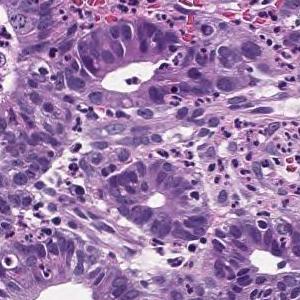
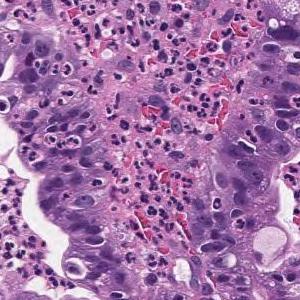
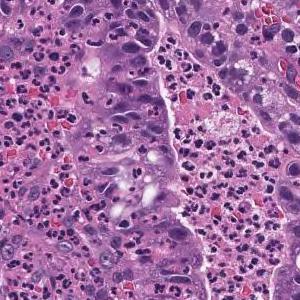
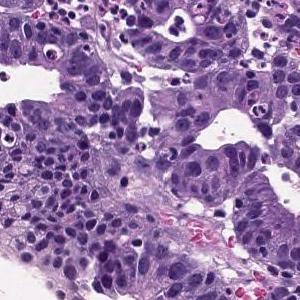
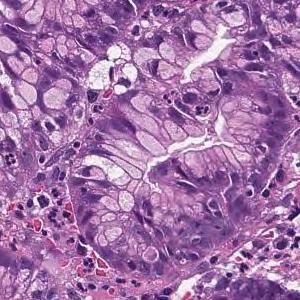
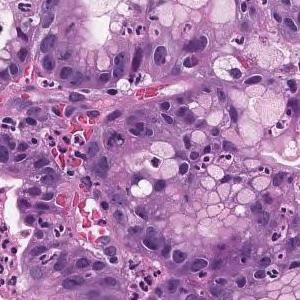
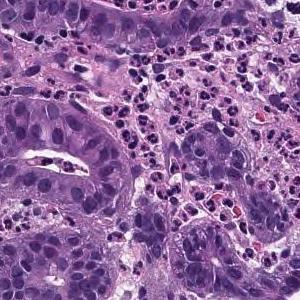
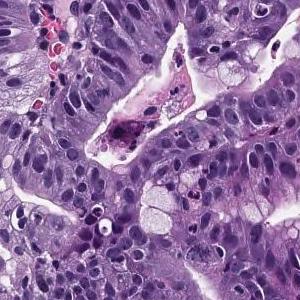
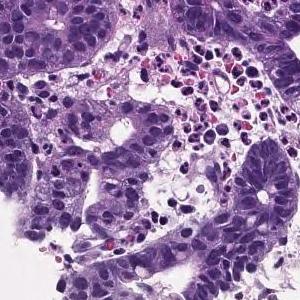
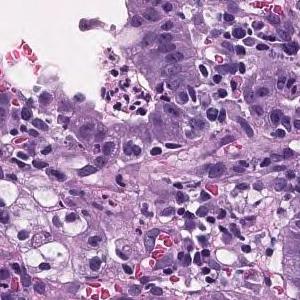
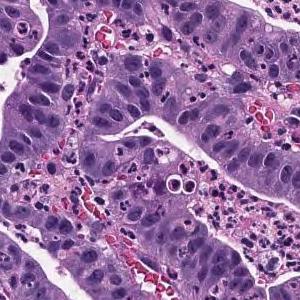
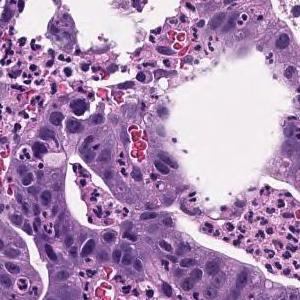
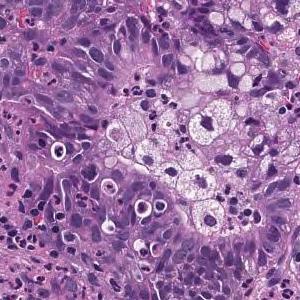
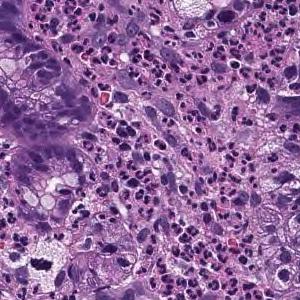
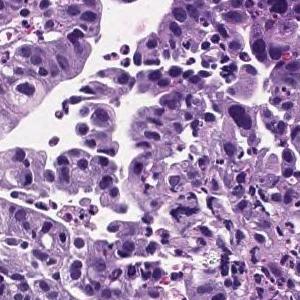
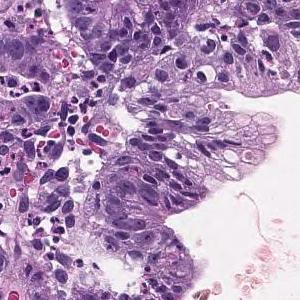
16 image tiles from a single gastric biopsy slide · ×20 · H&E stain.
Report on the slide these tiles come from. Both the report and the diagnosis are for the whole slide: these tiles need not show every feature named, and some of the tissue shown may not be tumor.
In the superficial epithelium, tumor tissue that invades by forming medium-sized to small, irregular ducts is observed. Well differentiated tubular adenocarcinoma.
